15 image tiles from a single gastric biopsy slide; 300 × 300 pixels each.
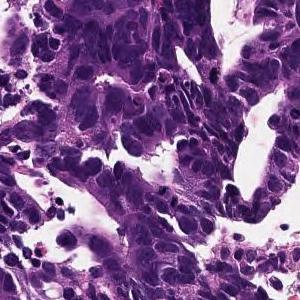
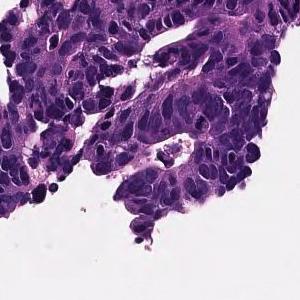
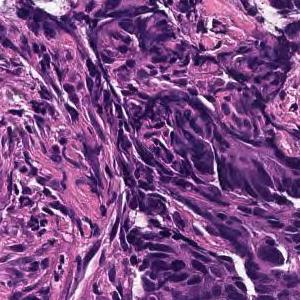
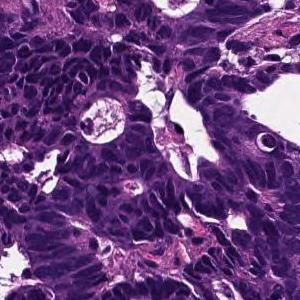
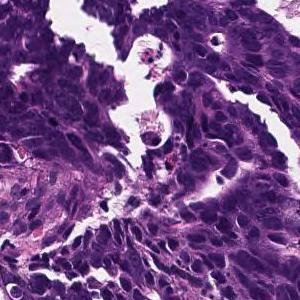
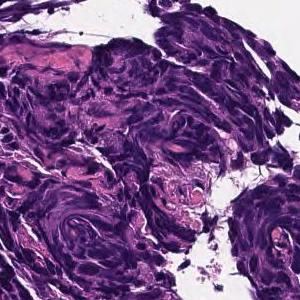
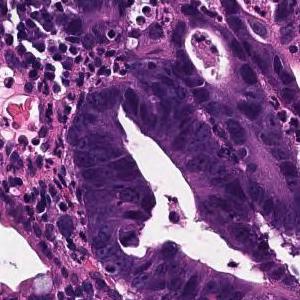
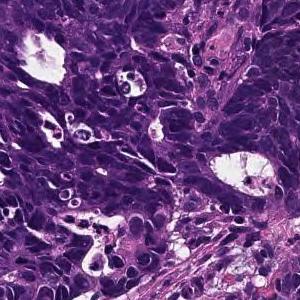
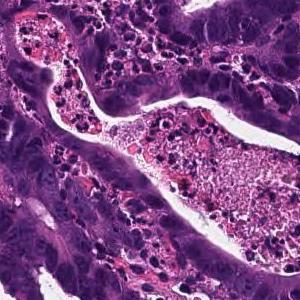
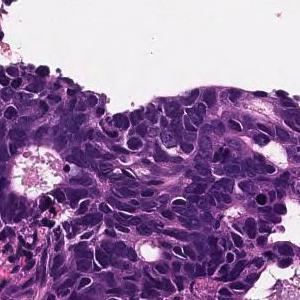
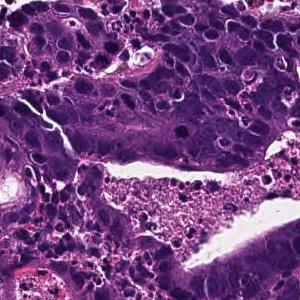
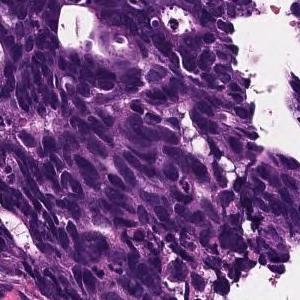
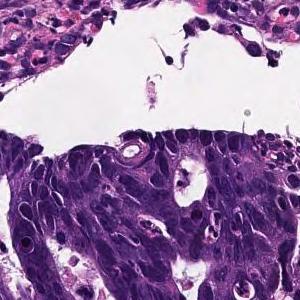
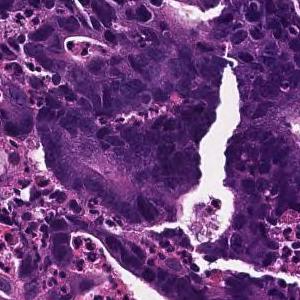
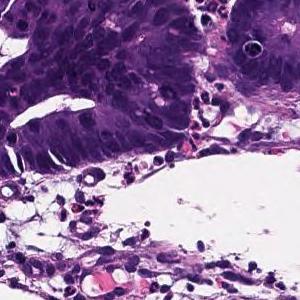
Report on the slide these tiles come from. The findings and the diagnosis refer to the entire slide; these tiles show only part of it, possibly with non-tumor tissue, and may not show every feature named.
In the superficial epithelium, tumor tissue that invades by forming medium-sized to small, irregular ducts is observed. moderately differentiated tubular adenocarcinoma.
